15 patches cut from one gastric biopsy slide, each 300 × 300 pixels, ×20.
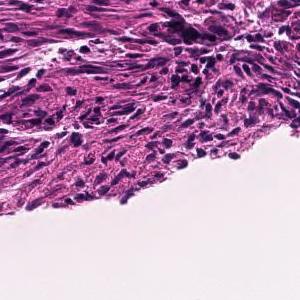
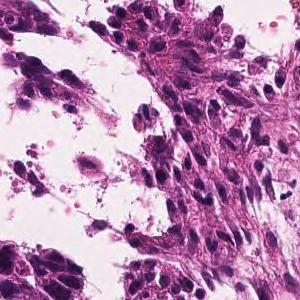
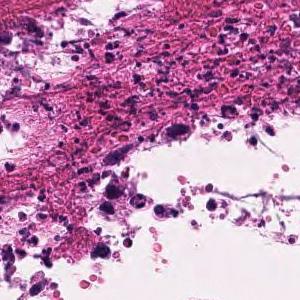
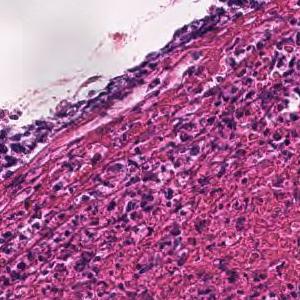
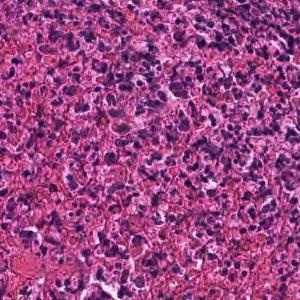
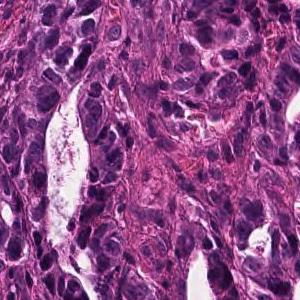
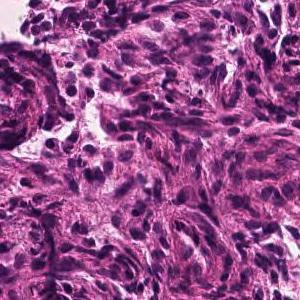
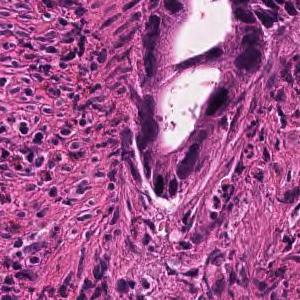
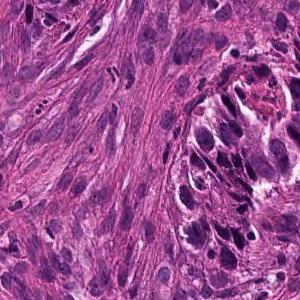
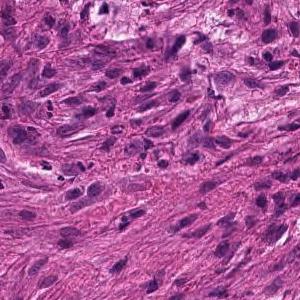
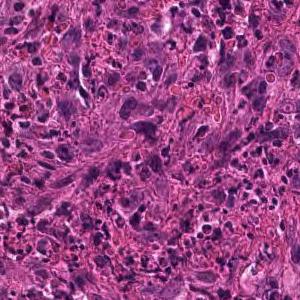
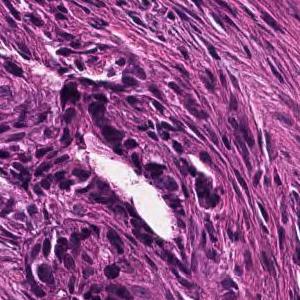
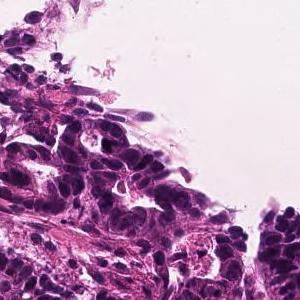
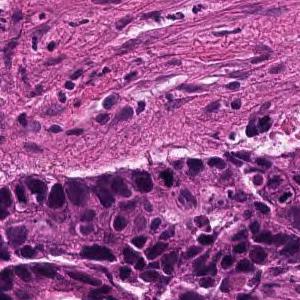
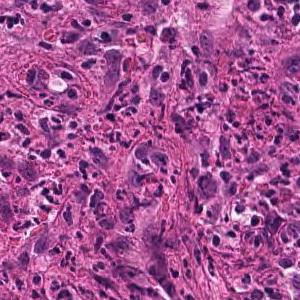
Pathology report for the biopsy slide these tiles were cut from. The report and the diagnosis describe the slide as a whole, so these tiles may not show every feature named and may include non-tumor tissue.
In the superficial epithelium, tumor tissue that invades by forming medium-sized to small, irregular ducts is observed. moderately differentiated tubular adenocarcinoma.
